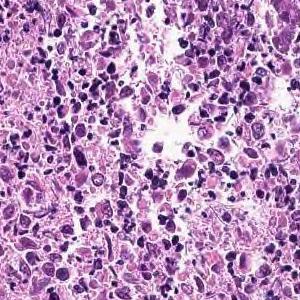
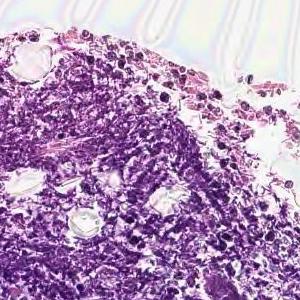
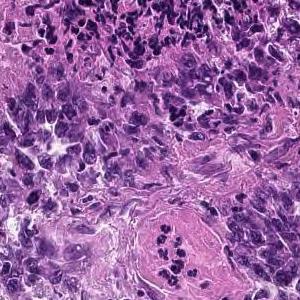
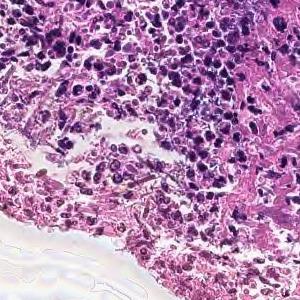
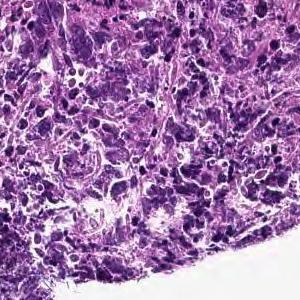
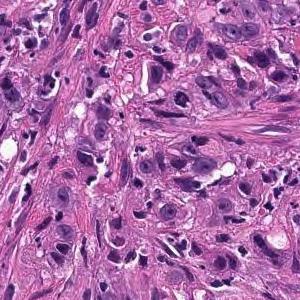
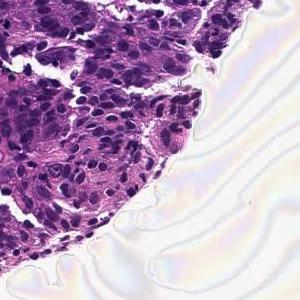
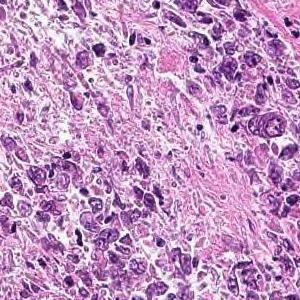
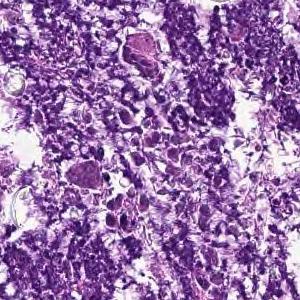
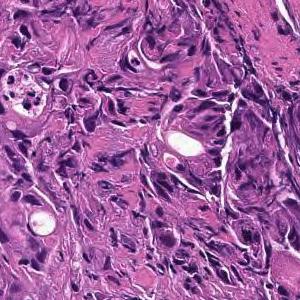
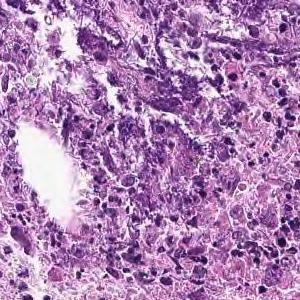
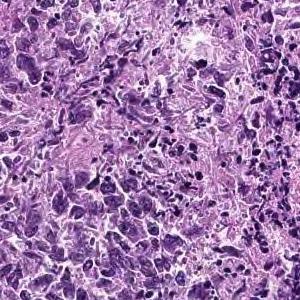
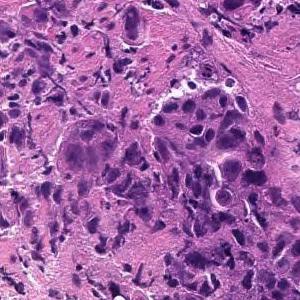
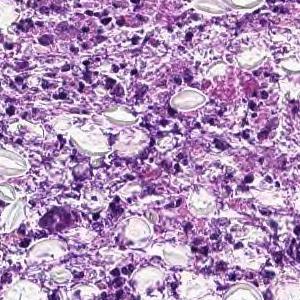
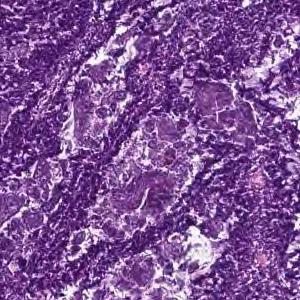
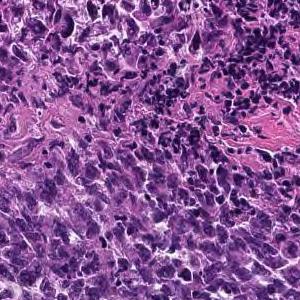
H&E stain, ×20, 16 tiles cut from one stomach biopsy slide.
Pathology report for the biopsy slide these tiles were cut from. What the report and the diagnosis say applies to the whole slide; these tiles may miss some of the features named and may include tissue that is not tumor.
Cancers with polygonal nuclei do not show glandular formation and are densely, in part, cord-like and proliferate. Poorly differentiated adenocarcinoma
Histologic type: Poorly differentiated adenocarcinoma, non-solid type.
"Non-solid type" is a category of the Japanese Classification of Gastric Carcinoma.
